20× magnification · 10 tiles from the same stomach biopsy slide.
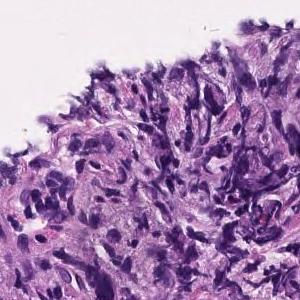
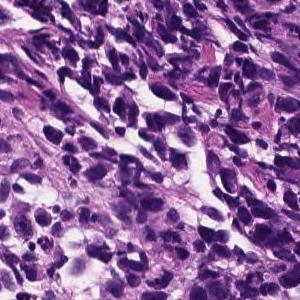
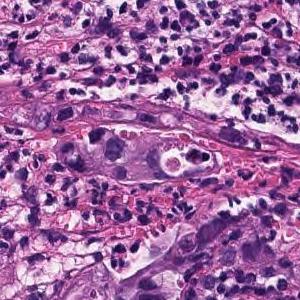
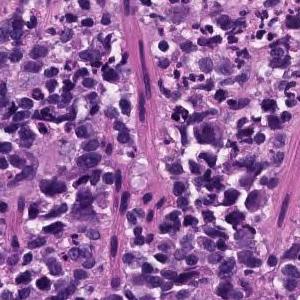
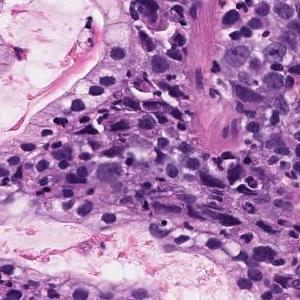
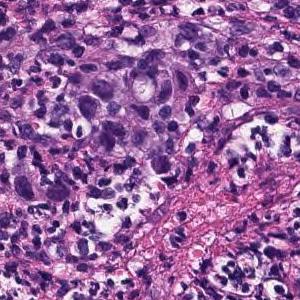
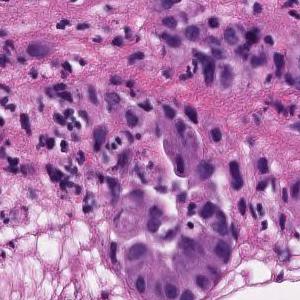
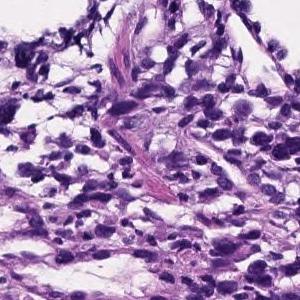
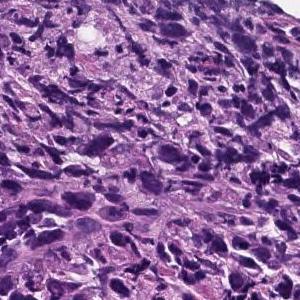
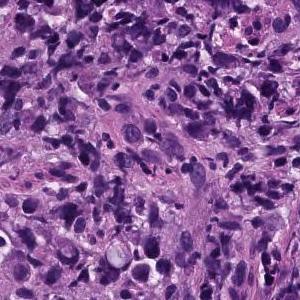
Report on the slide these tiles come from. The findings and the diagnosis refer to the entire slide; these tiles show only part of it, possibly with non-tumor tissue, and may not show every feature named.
Poorly differentiated, solid adenocarcinoma (poorly differentiated adenocarcinoma, solid type) with tumor tissue diffusely infiltrated with atypical epithelial cells
Subtype: Poorly differentiated adenocarcinoma, solid type, a category of the Japanese Classification of Gastric Carcinoma; in the WHO 2019 classification it is tubular adenocarcinoma, poorly differentiated.
